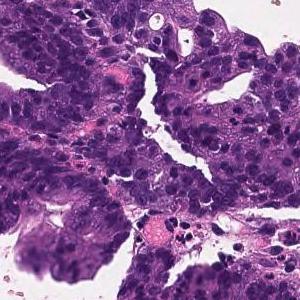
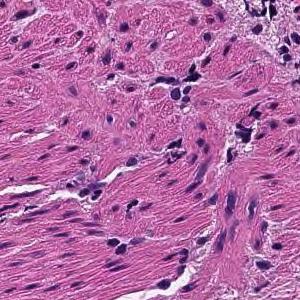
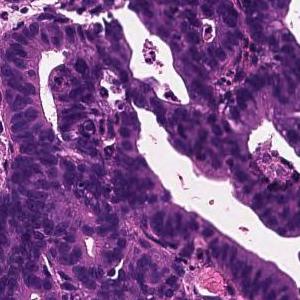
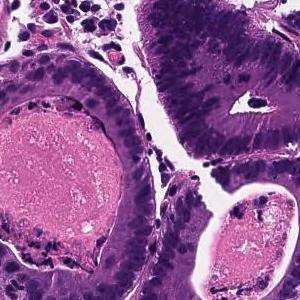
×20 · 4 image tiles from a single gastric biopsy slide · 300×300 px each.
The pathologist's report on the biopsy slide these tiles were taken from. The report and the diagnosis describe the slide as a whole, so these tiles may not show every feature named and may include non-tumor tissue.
Tumor tissue consisting of large papillary structures is found in the superficial epithelium. Papillary adenocarcinoma.
